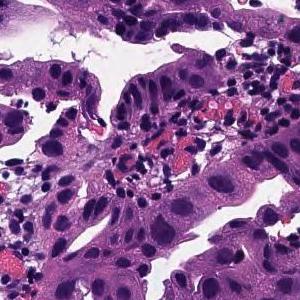
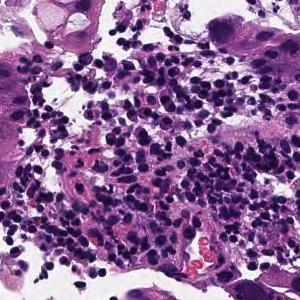
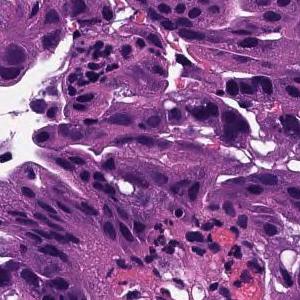
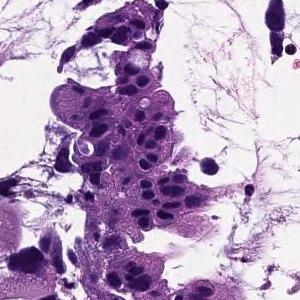
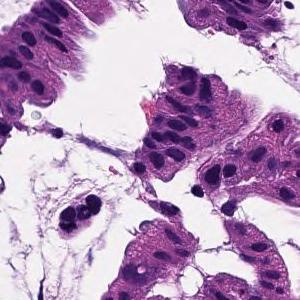
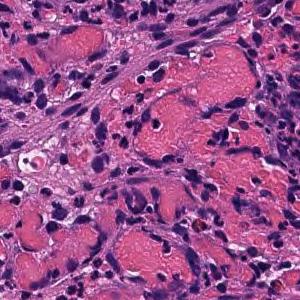
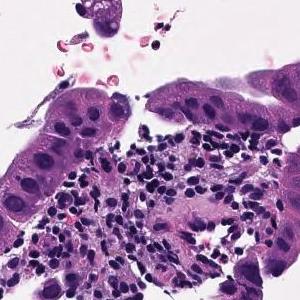
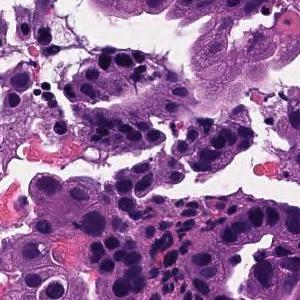
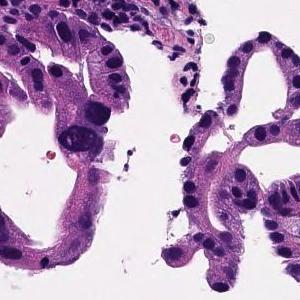
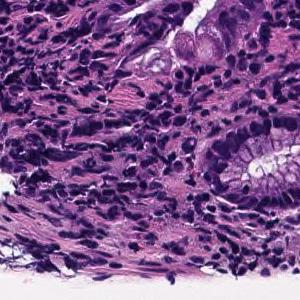
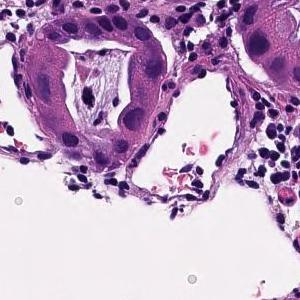
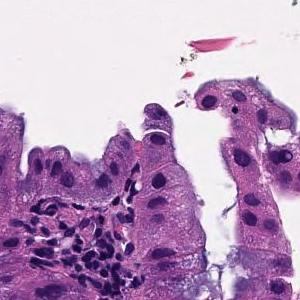
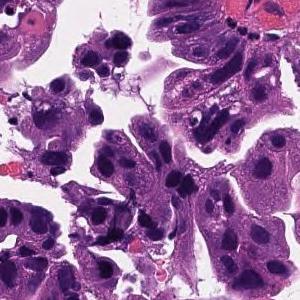
13 image tiles from a single gastric biopsy slide, 300×300 px each, H&E, 20× magnification.
Report on the slide these tiles come from. The report describes the whole slide, diagnosis included: not every finding it names need appear in these tiles, which may also show non-tumor tissue.
Tumor tissue consisting of large papillary structures is found in the superficial epithelium. Papillary adenocarcinoma.
